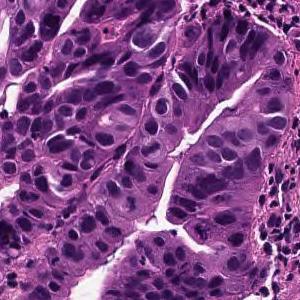
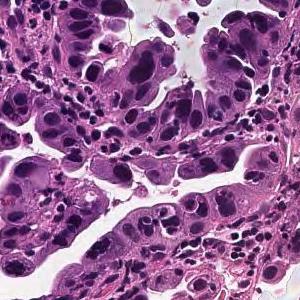
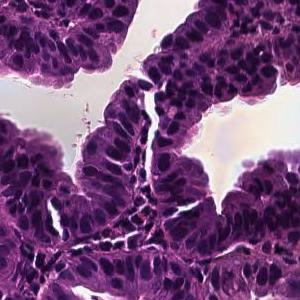
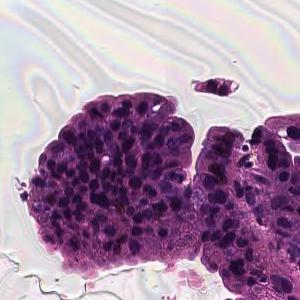
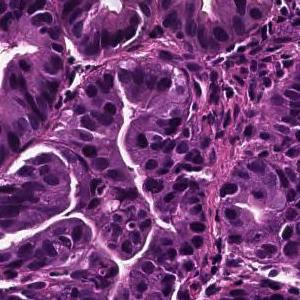
5 tiles cut from one stomach biopsy slide; hematoxylin and eosin stain.
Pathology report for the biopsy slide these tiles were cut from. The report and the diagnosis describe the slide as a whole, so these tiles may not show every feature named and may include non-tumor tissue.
Tumor cells are large, highly columnar, large club-shaped nuclei, and are associated with chromatin aggregation. Papillary adenocarcinoma.
